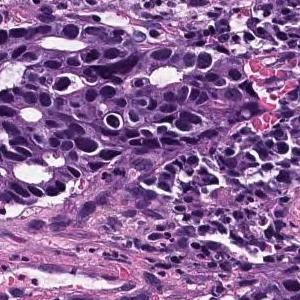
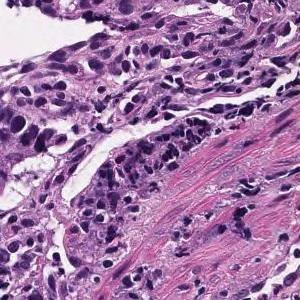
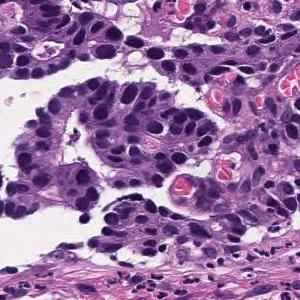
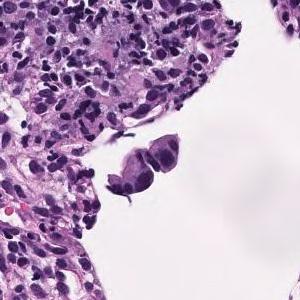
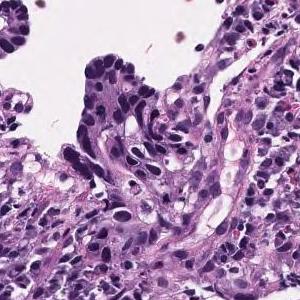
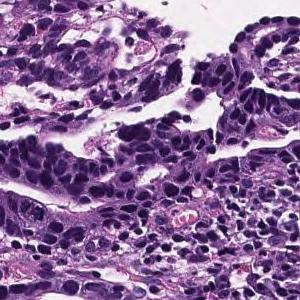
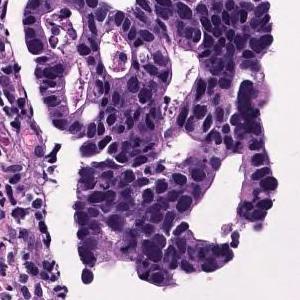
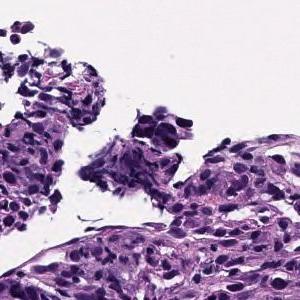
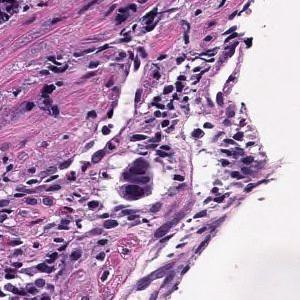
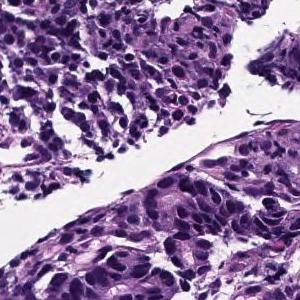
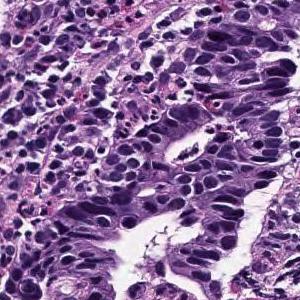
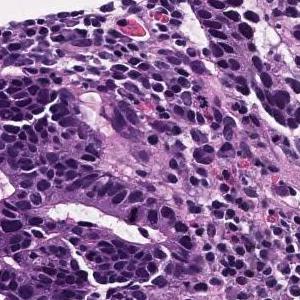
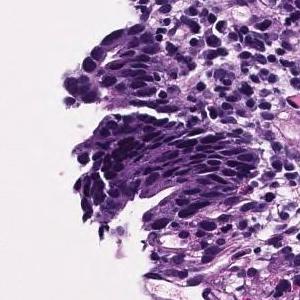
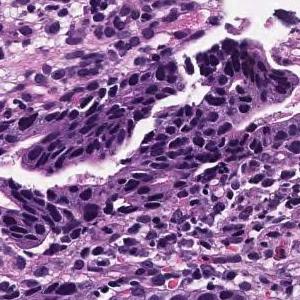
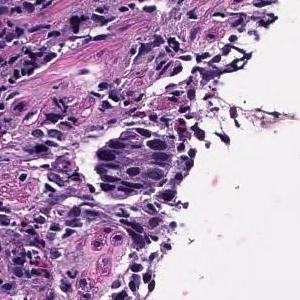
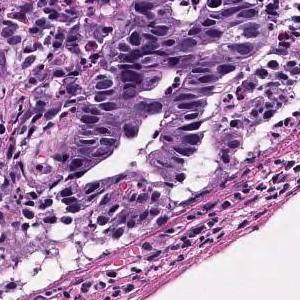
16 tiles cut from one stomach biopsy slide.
The pathologist's report on the biopsy slide these tiles were taken from. Both the report and the diagnosis are for the whole slide: these tiles need not show every feature named, and some of the tissue shown may not be tumor.
Atypical ducts proliferating with obscure duct construction and solid sequences is observed. Moderately differentiated adenocarcinoma.
Histologic type: Moderately differentiated tubular adenocarcinoma.
